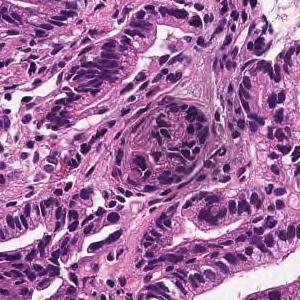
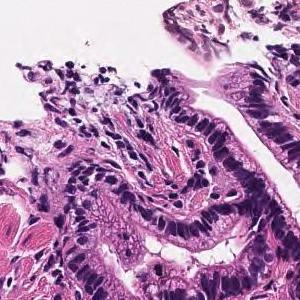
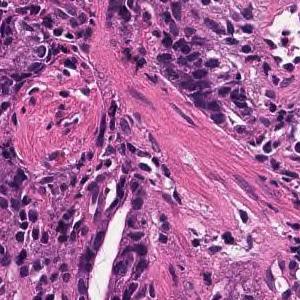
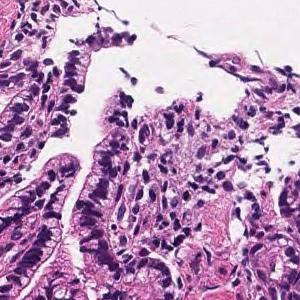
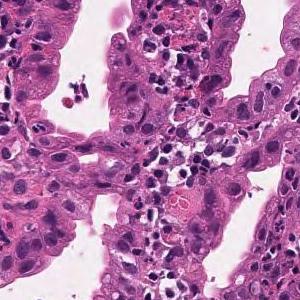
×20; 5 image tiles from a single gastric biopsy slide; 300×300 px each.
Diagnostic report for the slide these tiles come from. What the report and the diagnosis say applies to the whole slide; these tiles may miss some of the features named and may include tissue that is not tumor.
Tumor tissue in which medium to small irregular ducts infiltrate and proliferate in the submucosa can be seen in the epithelium. Well differentiated tubular adenocarcinoma
